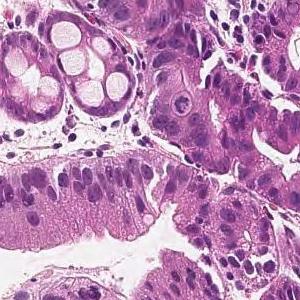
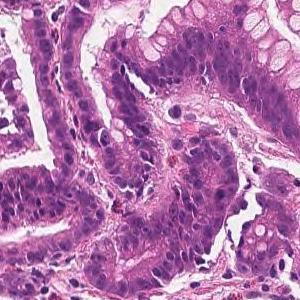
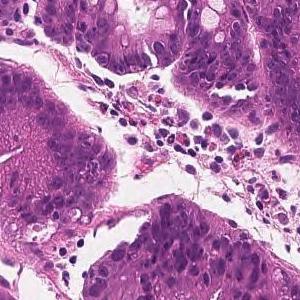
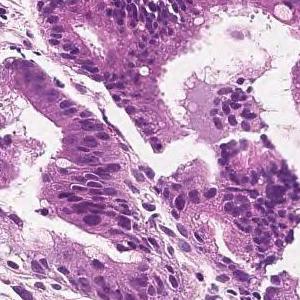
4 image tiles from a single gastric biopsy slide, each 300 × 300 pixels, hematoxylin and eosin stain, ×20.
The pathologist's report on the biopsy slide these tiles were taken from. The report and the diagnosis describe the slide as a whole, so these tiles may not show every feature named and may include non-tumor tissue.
From the superficial epithelium to the muscularis mucosae, tumor tissue consisting of medium-sized and irregular glandular ducts infiltrating is observed. Well differentiated tubular adenocarcinoma
